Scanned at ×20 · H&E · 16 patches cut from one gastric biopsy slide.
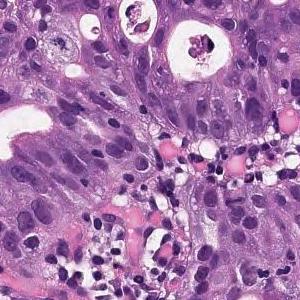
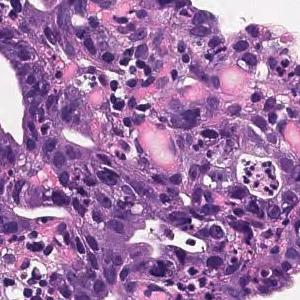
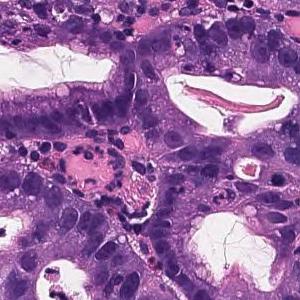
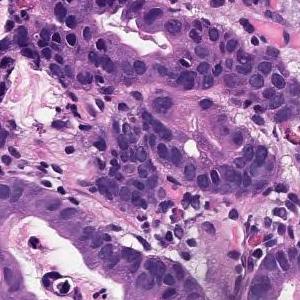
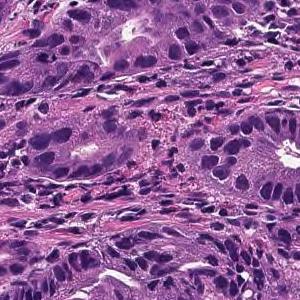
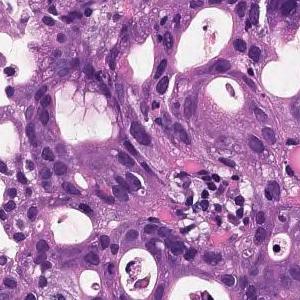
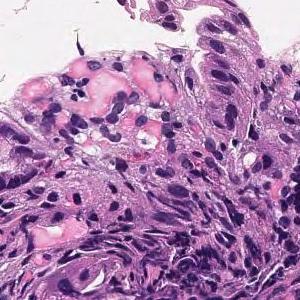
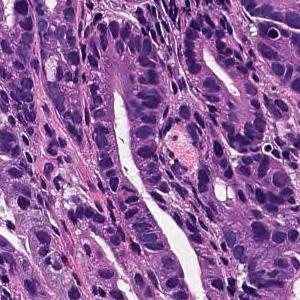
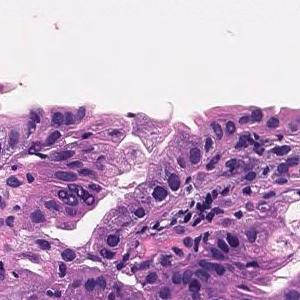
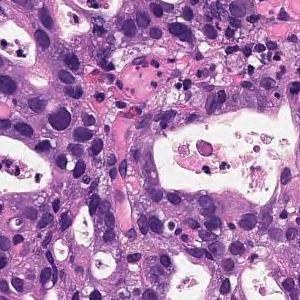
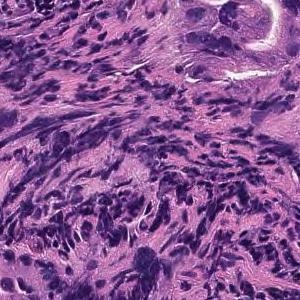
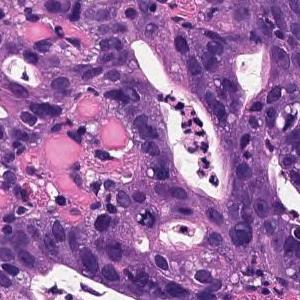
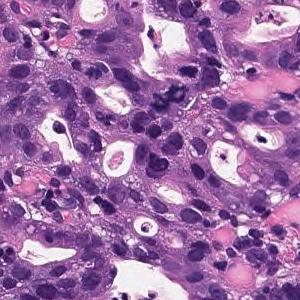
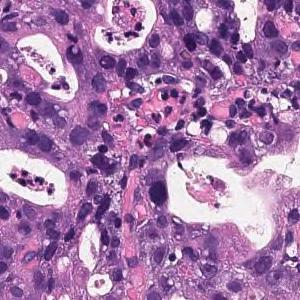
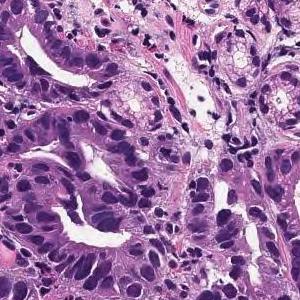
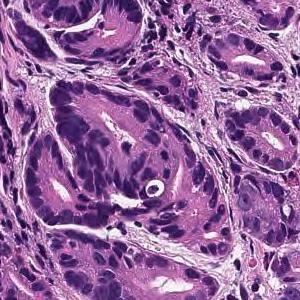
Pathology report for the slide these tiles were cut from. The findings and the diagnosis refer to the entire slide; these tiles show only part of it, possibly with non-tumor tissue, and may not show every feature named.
On the superficial epithelium, tumor tissue consisting of large, irregular glandular ducts partially fused and infiltrated is observed. Well to moderately differentiated tubular adenocarcinoma (well differentiated tubular adenocarcinoma, moderately differentiated tubular adenocarcinoma)
Histological subtype: Well to moderately differentiated tubular adenocarcinoma.
